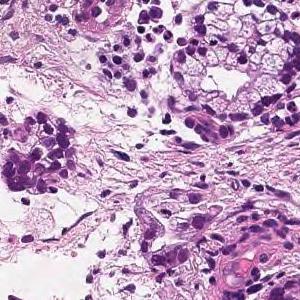
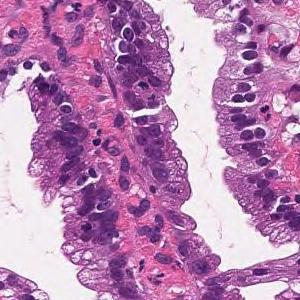
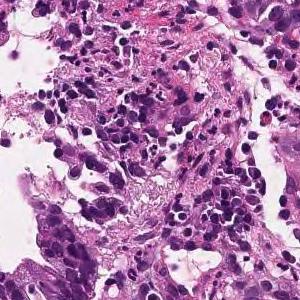
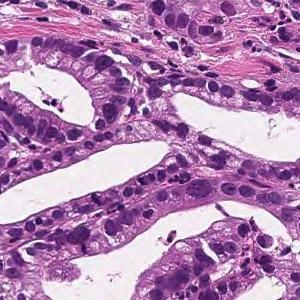
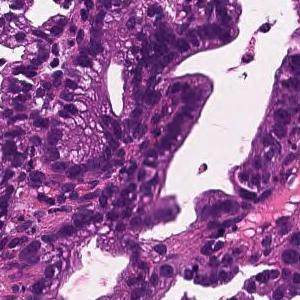
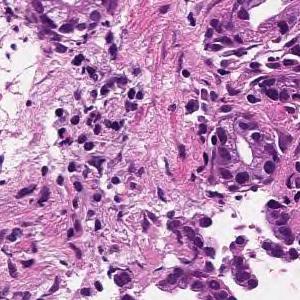
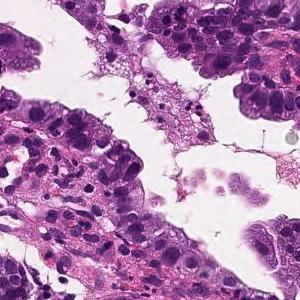
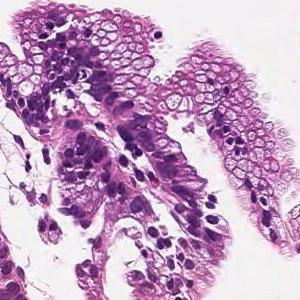
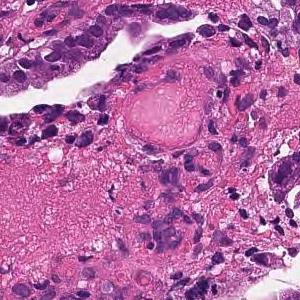
9 patches cut from one gastric biopsy slide; each 300 × 300 pixels; 20× magnification; H&E.
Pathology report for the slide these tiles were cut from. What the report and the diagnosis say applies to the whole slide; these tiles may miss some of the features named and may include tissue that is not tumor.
On the superficial epithelium, tumor tissue that infiltrates by forming medium-sized papillary or small irregular ducts is observed. Papillary adenocarcinoma
